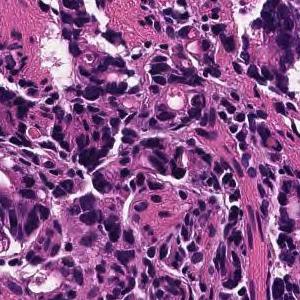
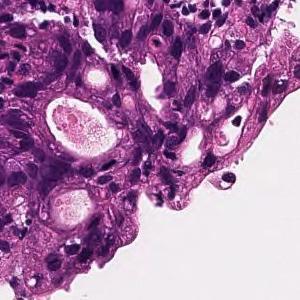
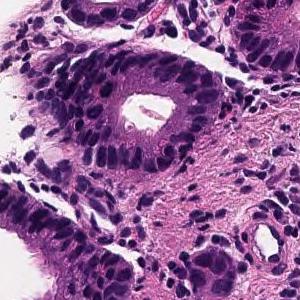
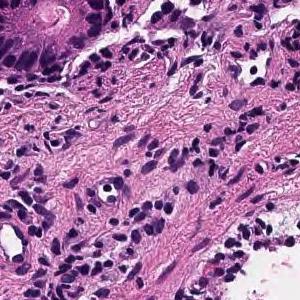
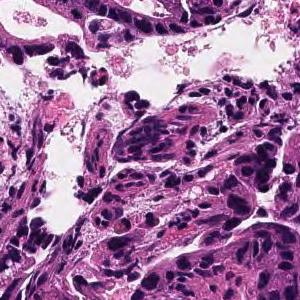
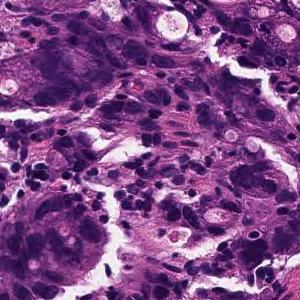
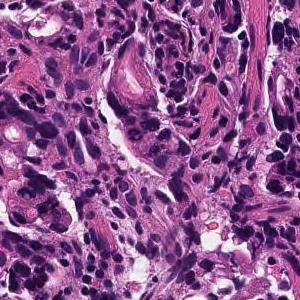
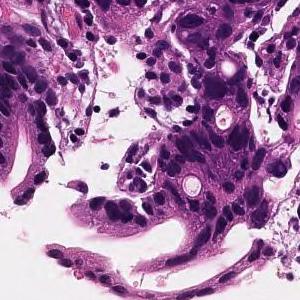
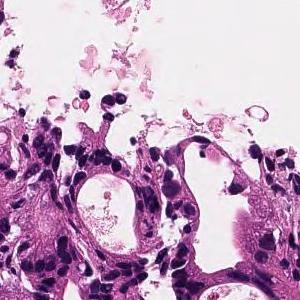
H&E stain, 9 patches cut from one gastric biopsy slide, 300 × 300 pixels each.
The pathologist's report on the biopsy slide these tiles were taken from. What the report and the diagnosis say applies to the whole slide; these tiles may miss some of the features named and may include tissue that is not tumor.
In the superficial epithelium, tumor tissue that invades by forming medium-sized to small, irregular ducts is observed. moderately differentiated tubular adenocarcinoma.
